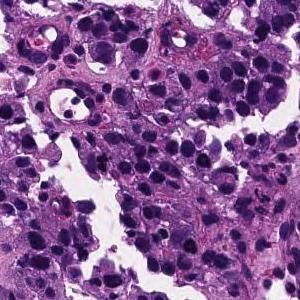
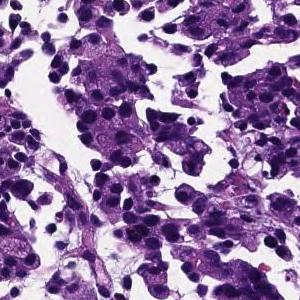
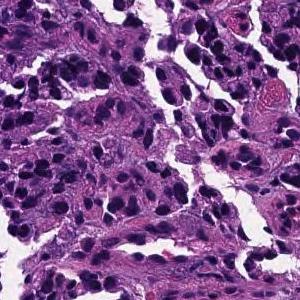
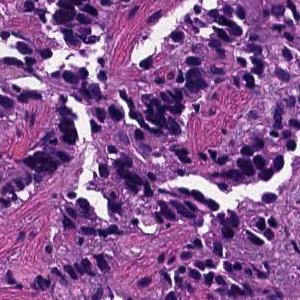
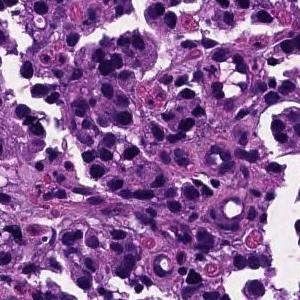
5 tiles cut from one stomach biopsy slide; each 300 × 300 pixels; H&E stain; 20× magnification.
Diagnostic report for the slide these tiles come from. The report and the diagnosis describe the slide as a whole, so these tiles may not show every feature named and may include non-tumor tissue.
The superficial epithelium shows a large alveolar shape and infiltrates tumor tissue. Poorly differentiated adenocarcinoma, solid-type
Histologic type: Poorly differentiated adenocarcinoma, solid type, a category of the Japanese Classification of Gastric Carcinoma; in the WHO 2019 classification it is tubular adenocarcinoma, poorly differentiated.
